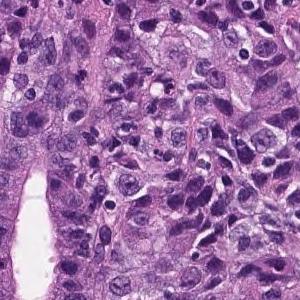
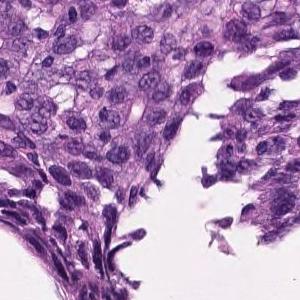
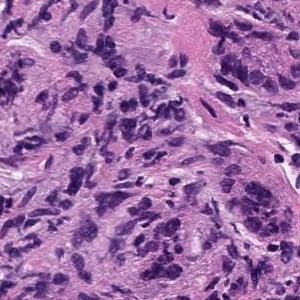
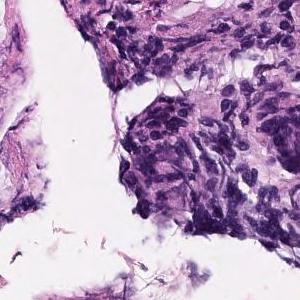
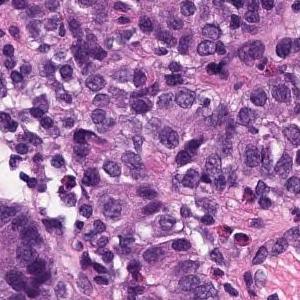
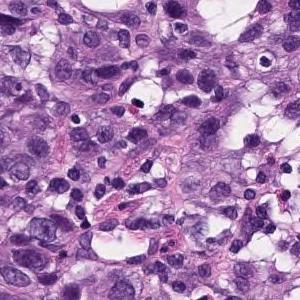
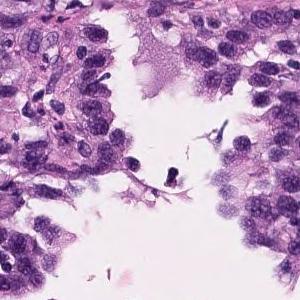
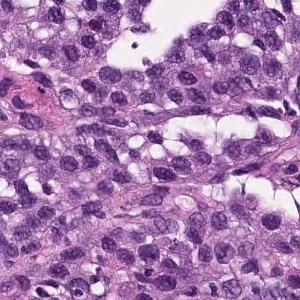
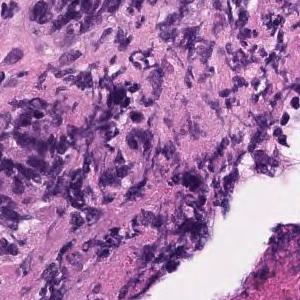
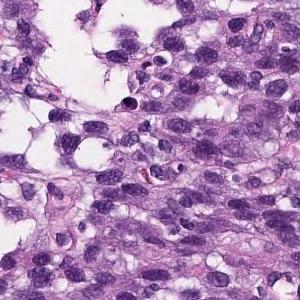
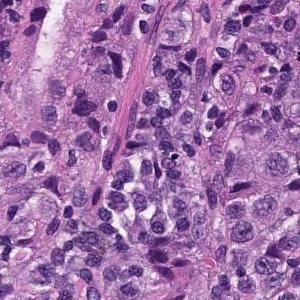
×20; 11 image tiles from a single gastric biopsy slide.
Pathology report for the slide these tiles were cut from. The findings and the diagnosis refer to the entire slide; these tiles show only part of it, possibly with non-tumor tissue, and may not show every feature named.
In the superficial epithelium, tumor tissue that invades by forming medium-sized to small, irregular ducts is observed. Moderately differentiated adenocarcinoma.
Tumor subtype: moderately differentiated tubular adenocarcinoma.
